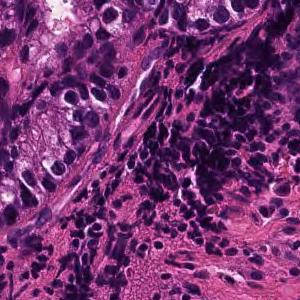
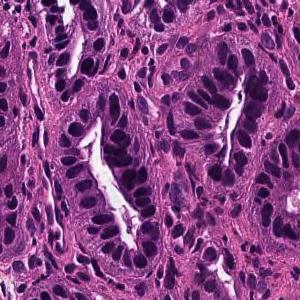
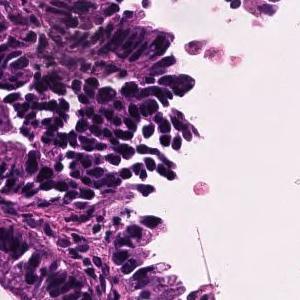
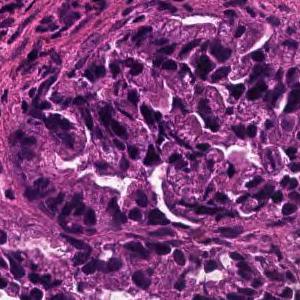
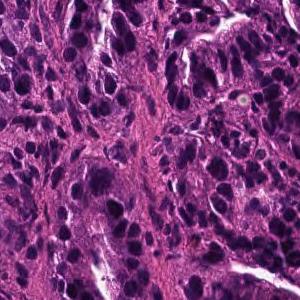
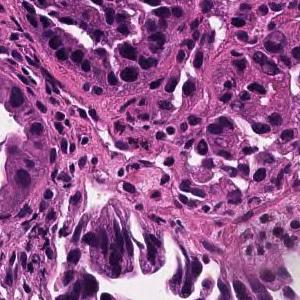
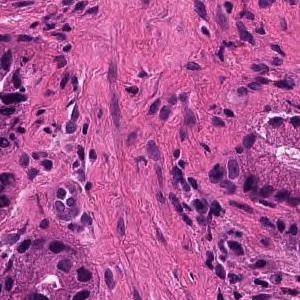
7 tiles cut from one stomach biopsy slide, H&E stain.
Pathology report for the biopsy slide these tiles were cut from. What the report and the diagnosis say applies to the whole slide; these tiles may miss some of the features named and may include tissue that is not tumor.
In the superficial epithelium, tumor tissue that invades by forming medium-sized to small, irregular ducts is observed. Well differentiated tubular adenocarcinoma.
